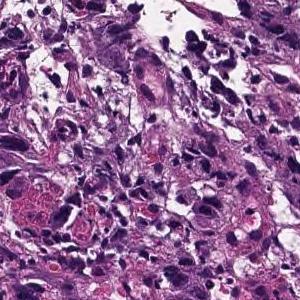
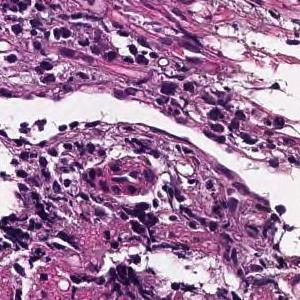
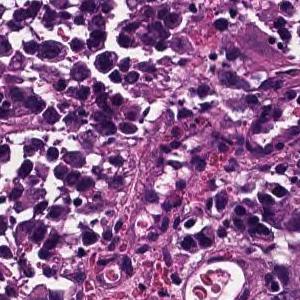
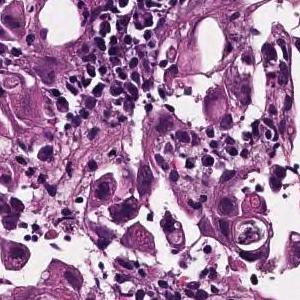
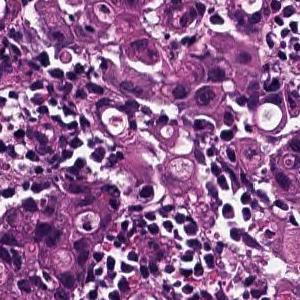
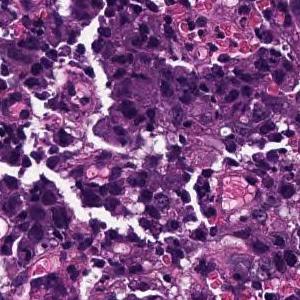
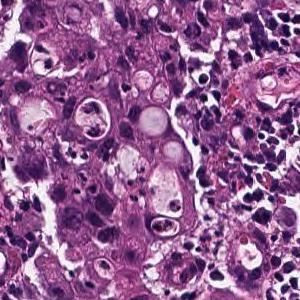
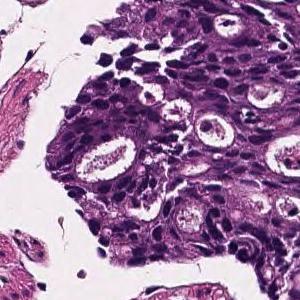
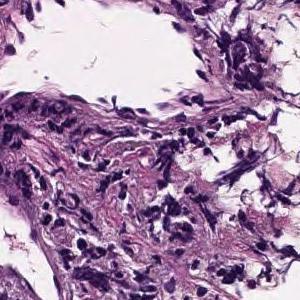
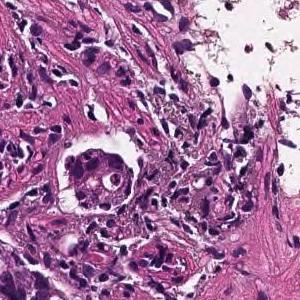
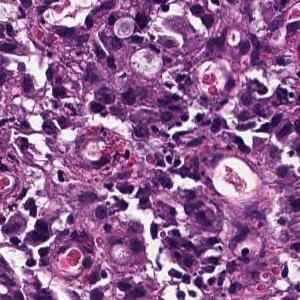
×20, 11 tiles from the same stomach biopsy slide.
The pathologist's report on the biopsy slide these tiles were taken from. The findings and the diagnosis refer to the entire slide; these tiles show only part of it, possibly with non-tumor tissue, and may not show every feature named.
The superficial epithelium shows a large sheet-like shape, and some tumor tissue infiltrates with small irregular ducts. Poorly differentiated adenocarcinoma, solid-type
Tumor subtype: poorly differentiated adenocarcinoma, solid type. This name comes from the Japanese Classification of Gastric Carcinoma; the WHO 2019 classification calls it tubular adenocarcinoma, poorly differentiated.
